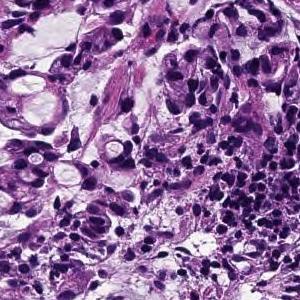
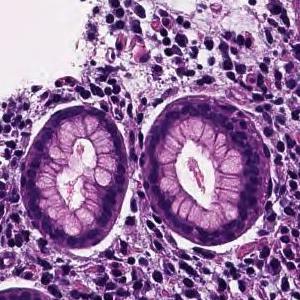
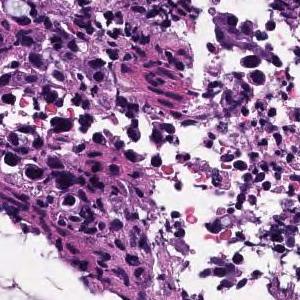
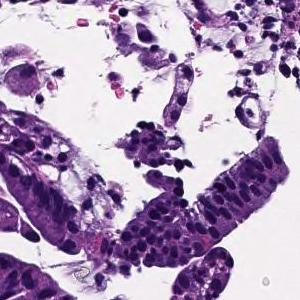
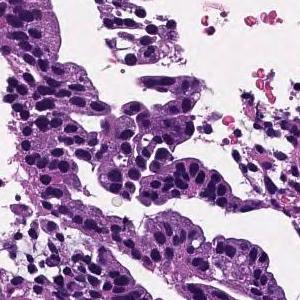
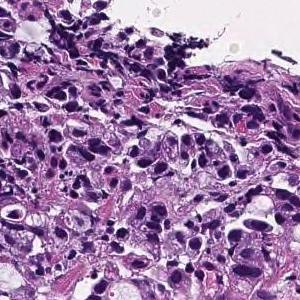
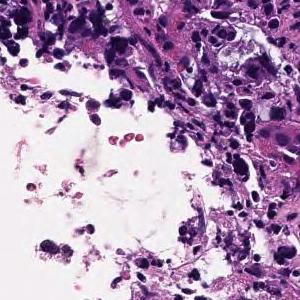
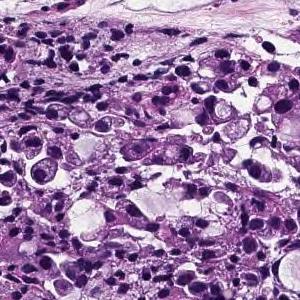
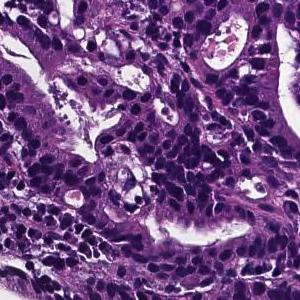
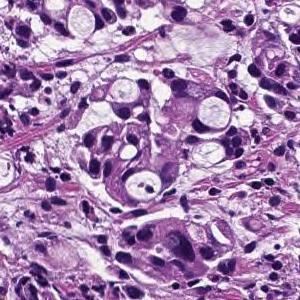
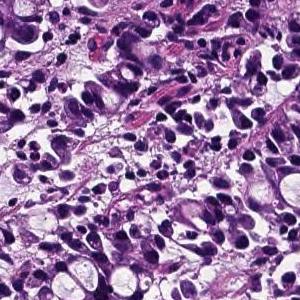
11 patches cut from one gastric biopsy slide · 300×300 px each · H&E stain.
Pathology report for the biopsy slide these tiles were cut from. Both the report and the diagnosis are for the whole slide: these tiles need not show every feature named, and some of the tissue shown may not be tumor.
Tumor tissue consisting of cord-like or small, irregular glandular ducts fused and infiltrated is observed in the superficial epithelium. Poorly differentiated adenocarcinoma, non-solid type
"Non-solid type" is a category of the Japanese Classification of Gastric Carcinoma.
